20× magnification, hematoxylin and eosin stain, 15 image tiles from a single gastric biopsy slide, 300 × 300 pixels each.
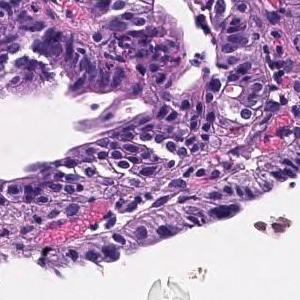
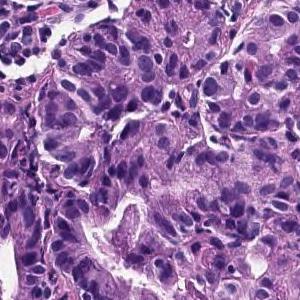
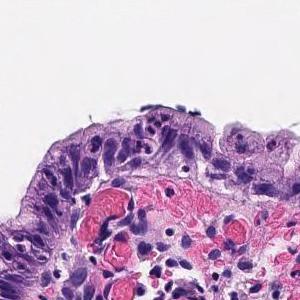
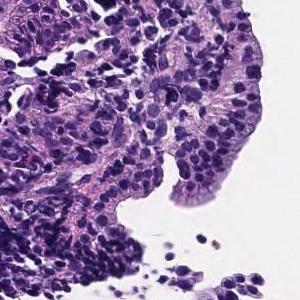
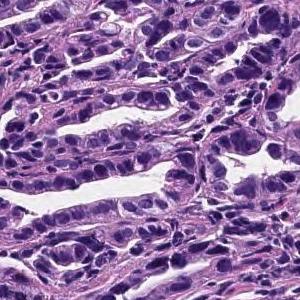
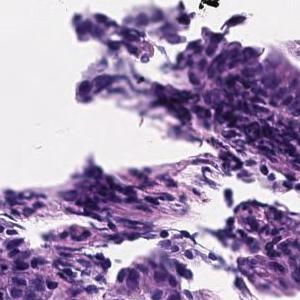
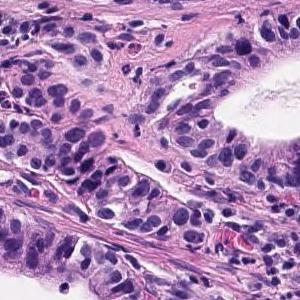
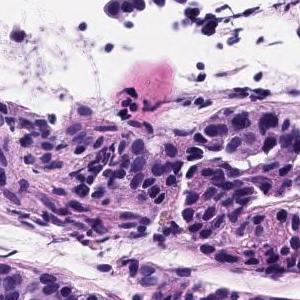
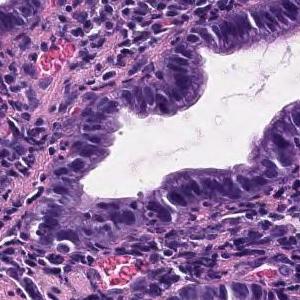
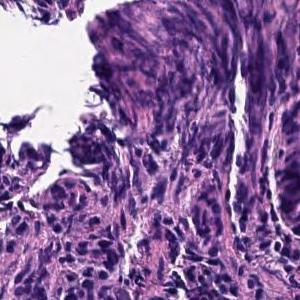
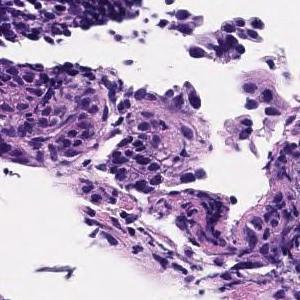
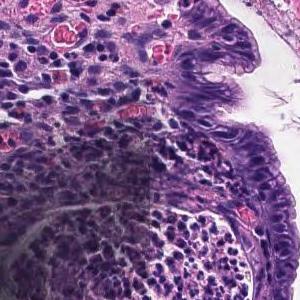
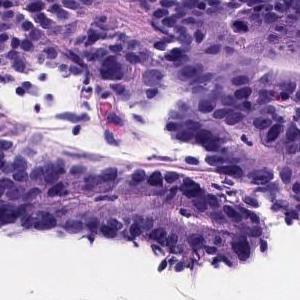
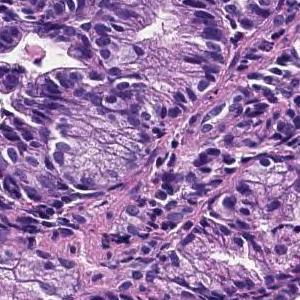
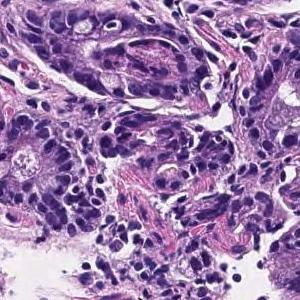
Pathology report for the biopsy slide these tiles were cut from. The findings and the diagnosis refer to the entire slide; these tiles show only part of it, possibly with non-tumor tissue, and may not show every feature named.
The superficial tumors shows large papillary structures or large and small ducts and infiltrates. Papillary adenocarcinoma.
